10 patches cut from one gastric biopsy slide, 20× magnification.
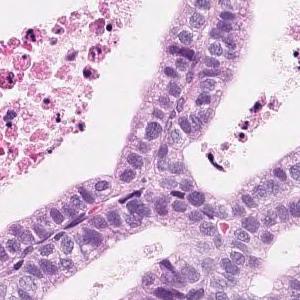
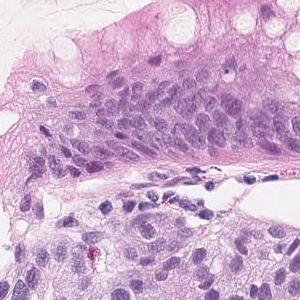
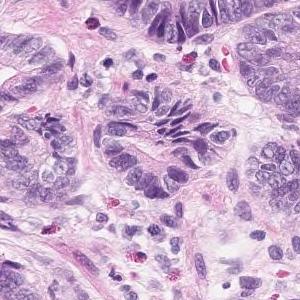
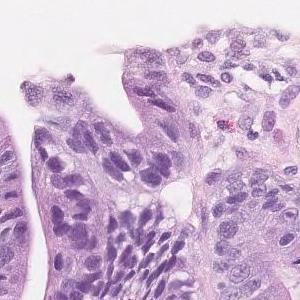
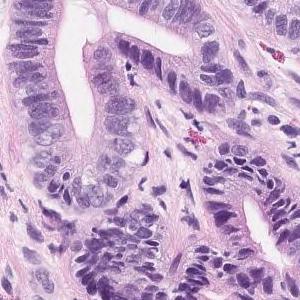
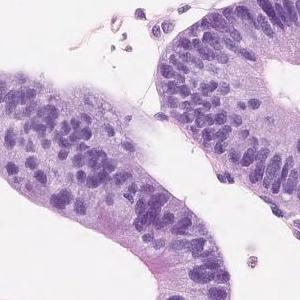
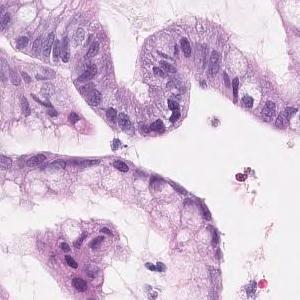
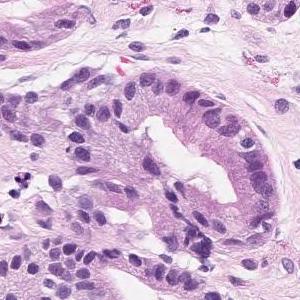
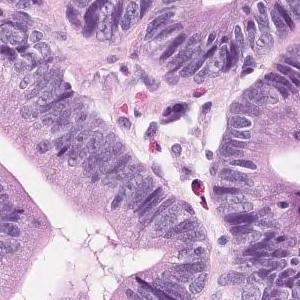
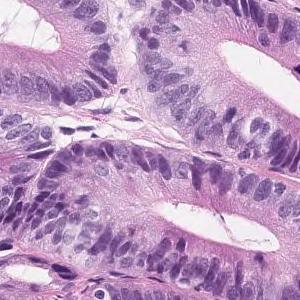
Pathology report for the slide these tiles were cut from. What the report and the diagnosis say applies to the whole slide; these tiles may miss some of the features named and may include tissue that is not tumor.
Short atypical epithelium with swelling of the nucleus shows proliferating, large and small irregular ductal structures. Well to moderately differentiated tubular adenocarcinoma (well differentiated tubular adenocarcinoma-moderately differentiated tubular adenocarcinoma)
Histologic type: Well to moderately differentiated tubular adenocarcinoma.
